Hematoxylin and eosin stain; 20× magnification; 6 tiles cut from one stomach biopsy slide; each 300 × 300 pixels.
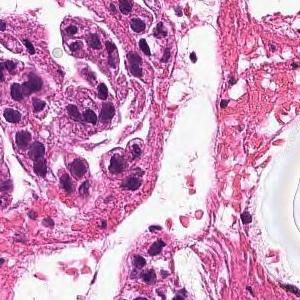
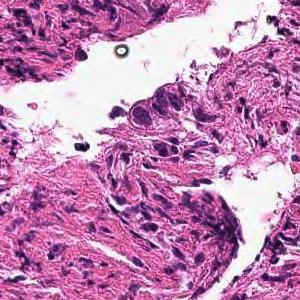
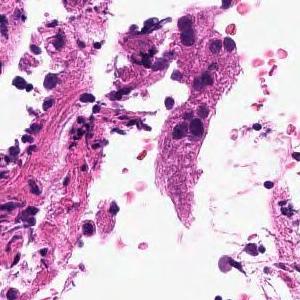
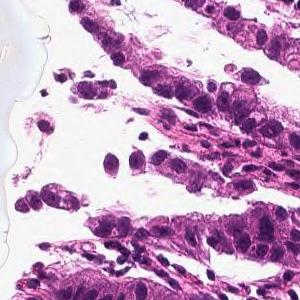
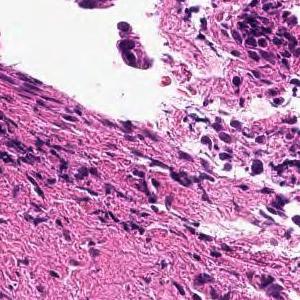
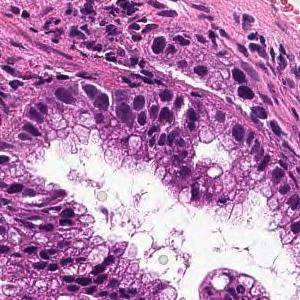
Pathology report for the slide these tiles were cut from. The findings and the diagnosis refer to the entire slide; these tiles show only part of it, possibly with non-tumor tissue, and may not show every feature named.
From the superficial epithelium to the muscularis mucosae, tumor tissue infiltrating by forming medium-sized irregular gland ducts is observed. Well differentiated tubular adenocarcinoma
